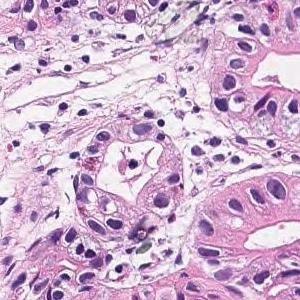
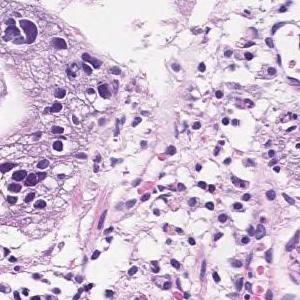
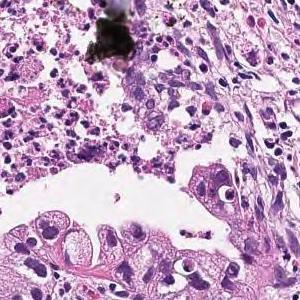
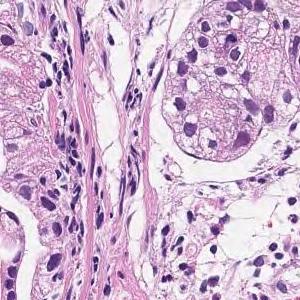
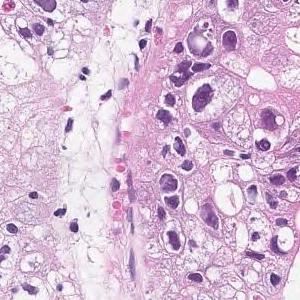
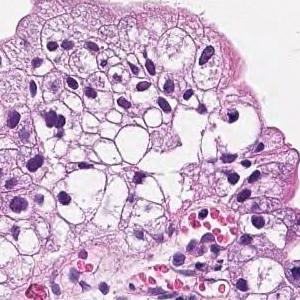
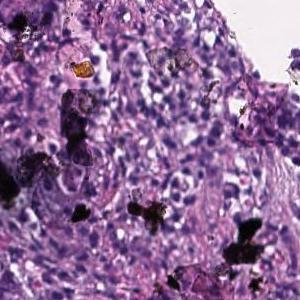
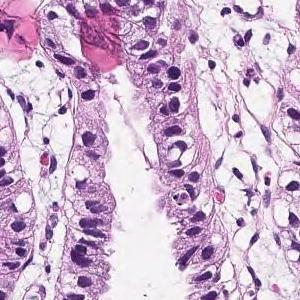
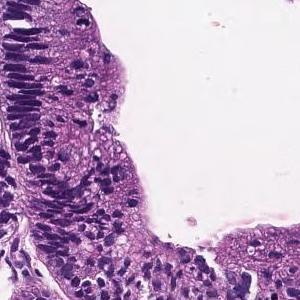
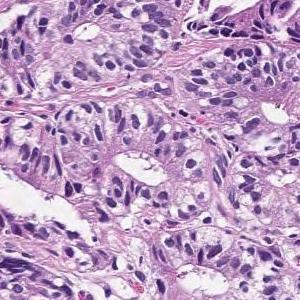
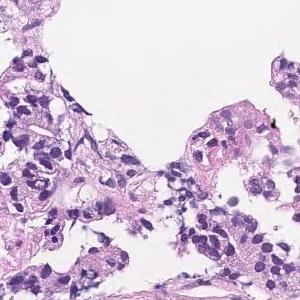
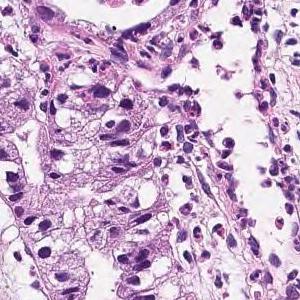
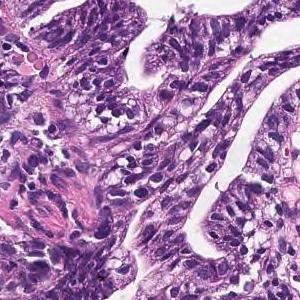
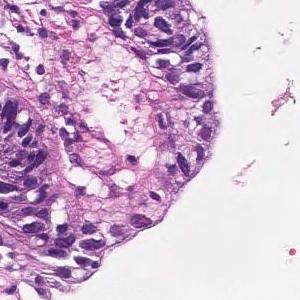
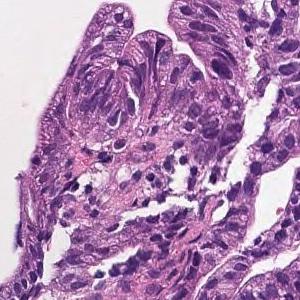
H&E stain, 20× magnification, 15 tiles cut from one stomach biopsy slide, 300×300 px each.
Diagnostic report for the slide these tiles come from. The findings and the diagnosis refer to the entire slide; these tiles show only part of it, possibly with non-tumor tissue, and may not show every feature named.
In the superficial epithelium, tumor tissue that invades by forming medium-sized to small, irregular ducts is observed. Moderately differentiated adenocarcinoma.
Subtype: Moderately differentiated tubular adenocarcinoma.
